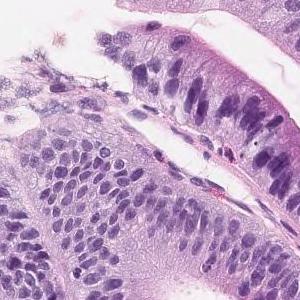
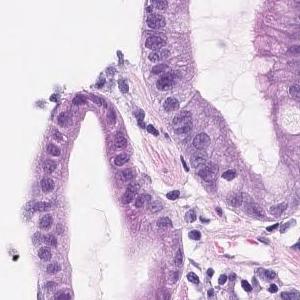
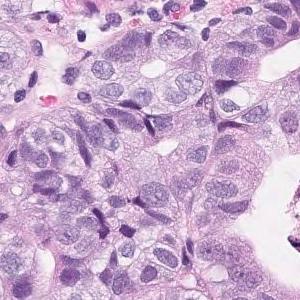
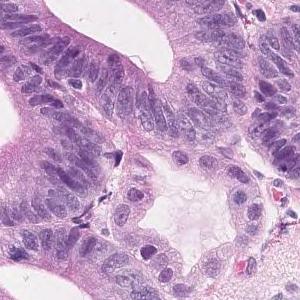
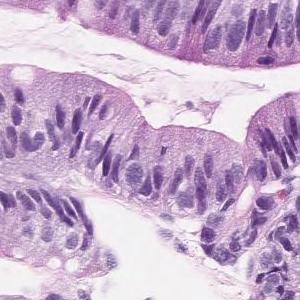
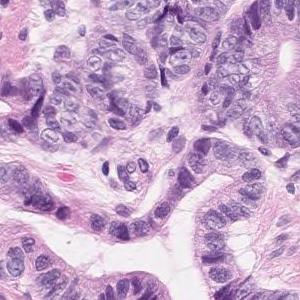
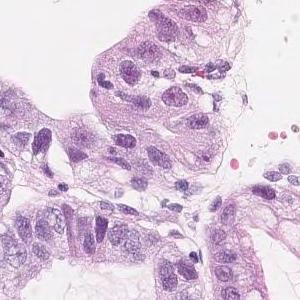
7 patches cut from one gastric biopsy slide, H&E.
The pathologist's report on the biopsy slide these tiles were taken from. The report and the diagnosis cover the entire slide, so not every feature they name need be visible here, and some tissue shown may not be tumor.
Short atypical epithelium with swelling of the nucleus shows proliferating, large and small irregular ductal structures. Well to moderately differentiated tubular adenocarcinoma (well differentiated tubular adenocarcinoma-moderately differentiated tubular adenocarcinoma)
Histologic type: Well to moderately differentiated tubular adenocarcinoma.
